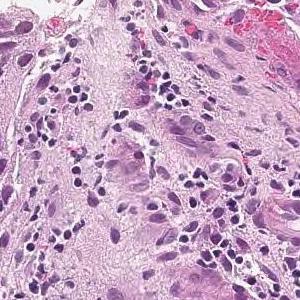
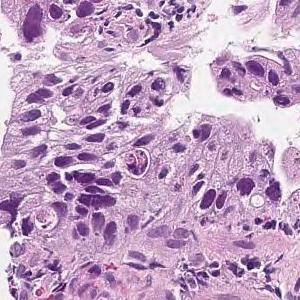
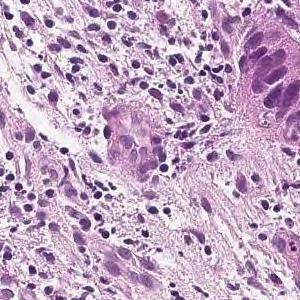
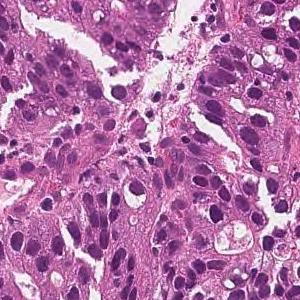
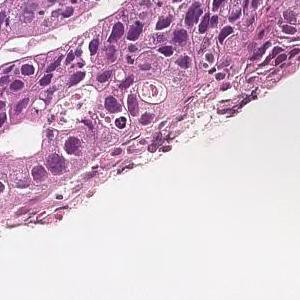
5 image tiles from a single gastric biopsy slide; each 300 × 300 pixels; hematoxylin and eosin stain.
Diagnostic report for the slide these tiles come from. Both the report and the diagnosis are for the whole slide: these tiles need not show every feature named, and some of the tissue shown may not be tumor.
In the superficial epithelium, tumor tissue that invades by forming medium-sized to small, irregular ducts is observed. moderately differentiated tubular adenocarcinoma.
